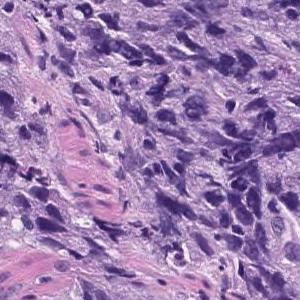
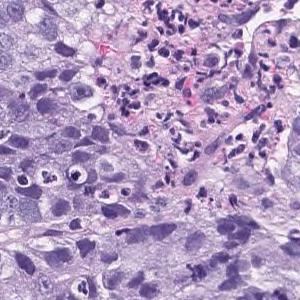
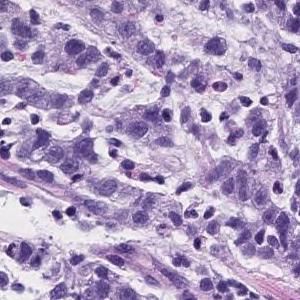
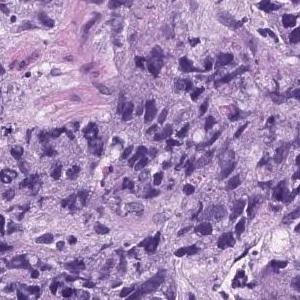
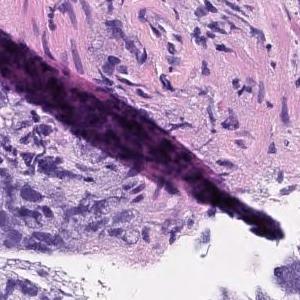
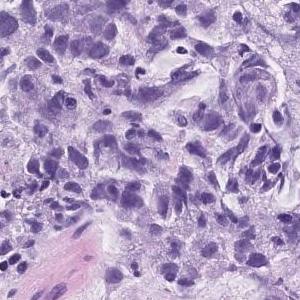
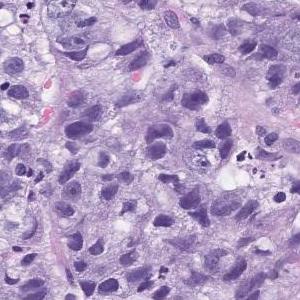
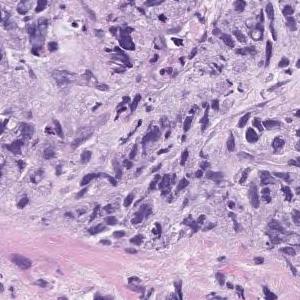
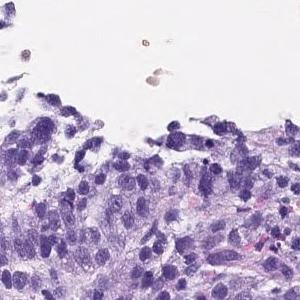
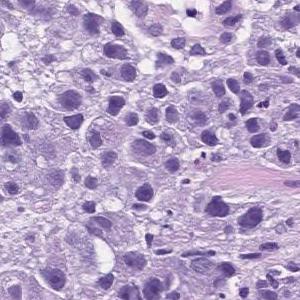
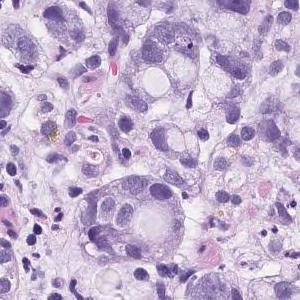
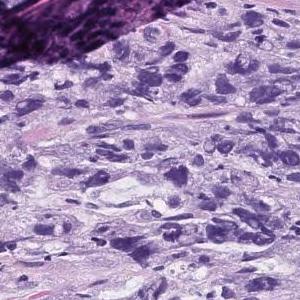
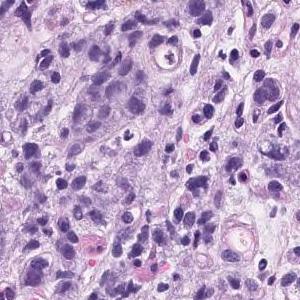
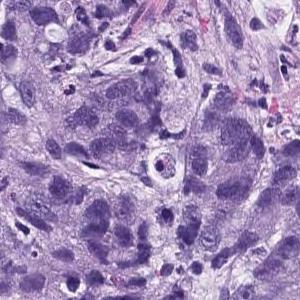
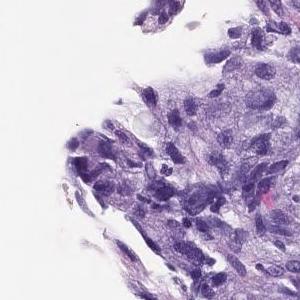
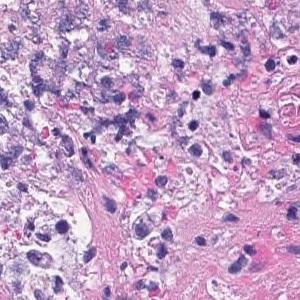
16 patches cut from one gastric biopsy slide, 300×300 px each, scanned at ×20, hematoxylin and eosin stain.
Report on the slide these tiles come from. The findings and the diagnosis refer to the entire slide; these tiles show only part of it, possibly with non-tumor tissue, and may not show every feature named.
Atypical l cells with atypical nuclei forming solid vesicles or small irregular atypical ducts that proliferate in a complex manner. poorly differentiated adenocarcinoma, solid type, moderately differentiated tubular adenocarcinoma
The term "solid type" comes from the Japanese Classification of Gastric Carcinoma; the WHO 2019 equivalent is tubular adenocarcinoma, poorly differentiated.
